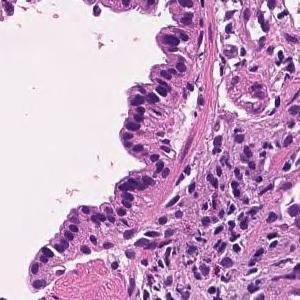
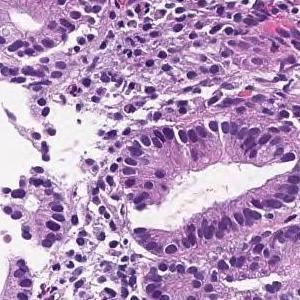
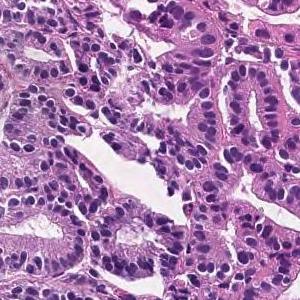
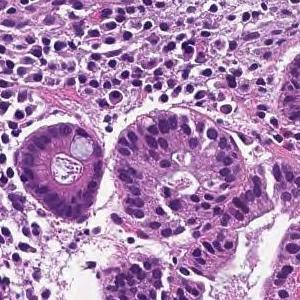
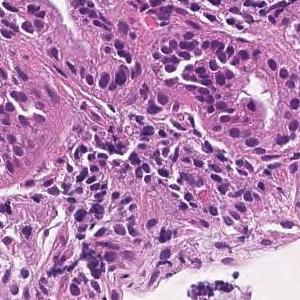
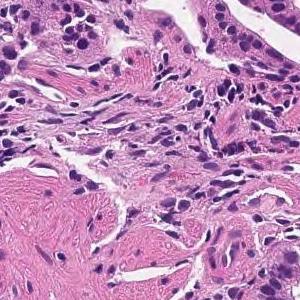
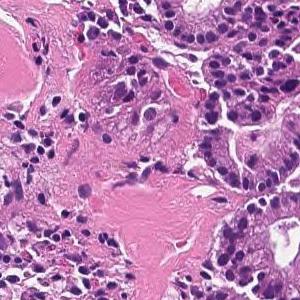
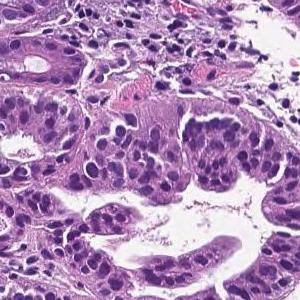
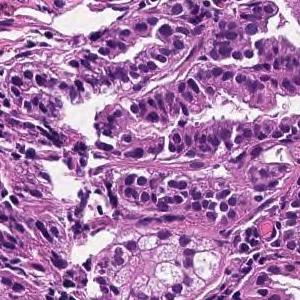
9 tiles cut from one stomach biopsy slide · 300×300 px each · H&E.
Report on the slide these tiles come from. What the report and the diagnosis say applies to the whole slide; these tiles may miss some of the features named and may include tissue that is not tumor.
On the superficial epithelium, tumor tissue that infiltrates by forming medium-sized papillary or small irregular ducts is observed. Papillary adenocarcinoma (Papillary adenocarcinoma)
Tumor subtype: papillary adenocarcinoma.
